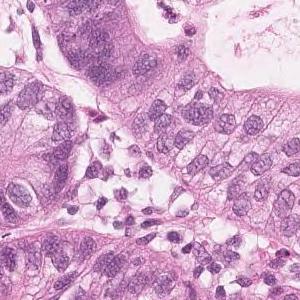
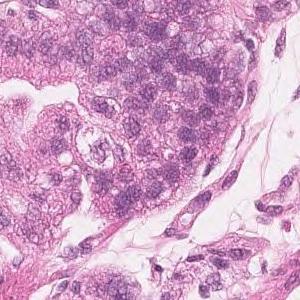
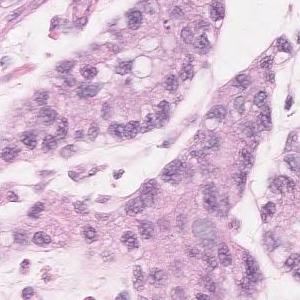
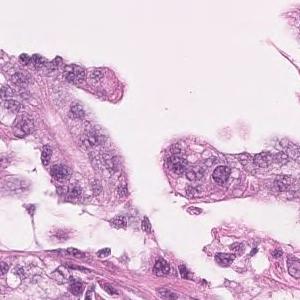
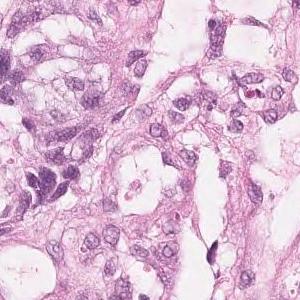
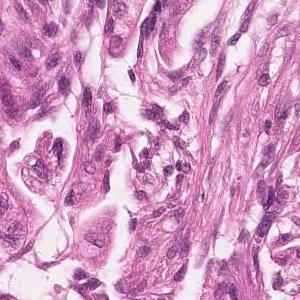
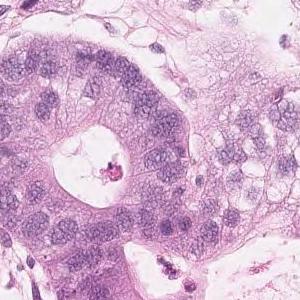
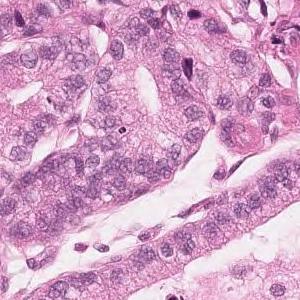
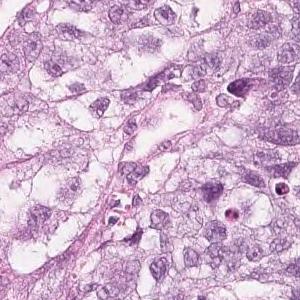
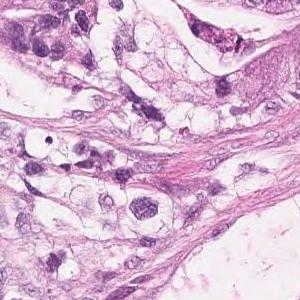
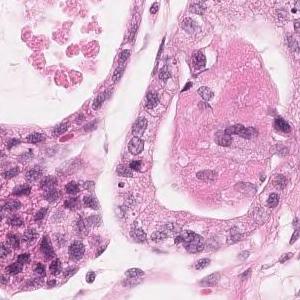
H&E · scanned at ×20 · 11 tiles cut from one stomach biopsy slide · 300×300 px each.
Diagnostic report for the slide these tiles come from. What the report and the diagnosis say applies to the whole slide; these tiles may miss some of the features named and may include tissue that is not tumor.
Highly columnar epithelium with disordered nuclear localization proliferates showing fusion ductal construction. moderately differentiated tubular adenocarcinoma
